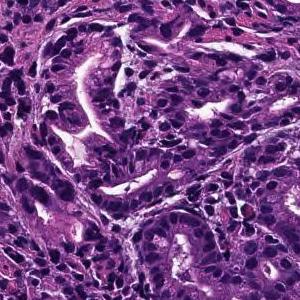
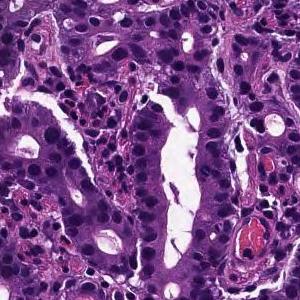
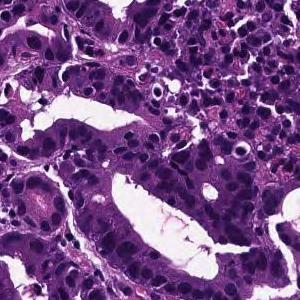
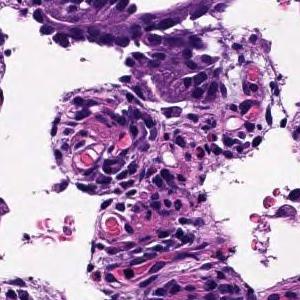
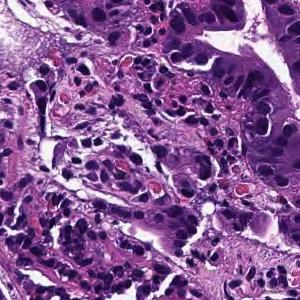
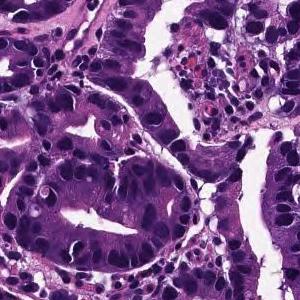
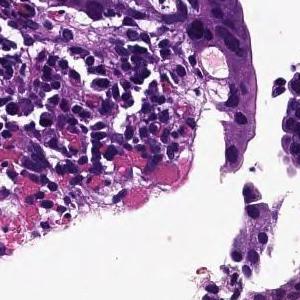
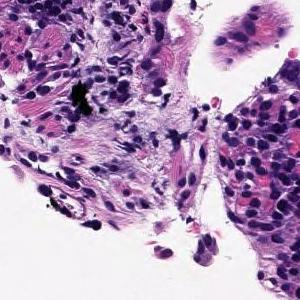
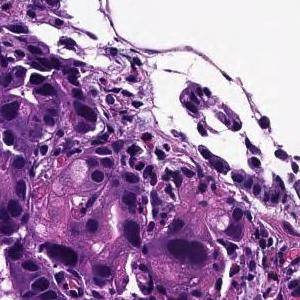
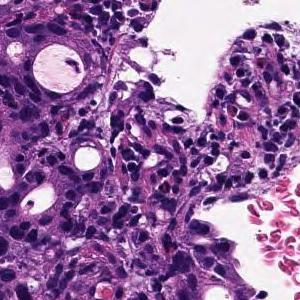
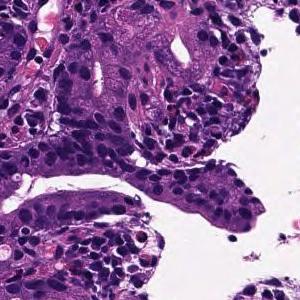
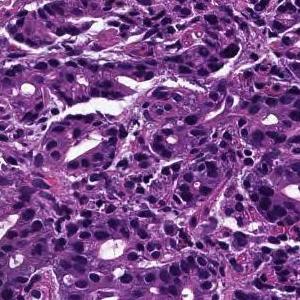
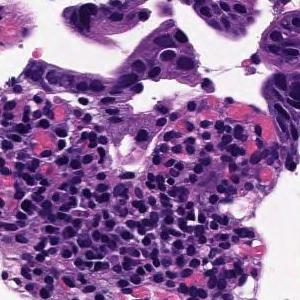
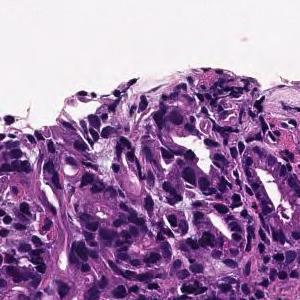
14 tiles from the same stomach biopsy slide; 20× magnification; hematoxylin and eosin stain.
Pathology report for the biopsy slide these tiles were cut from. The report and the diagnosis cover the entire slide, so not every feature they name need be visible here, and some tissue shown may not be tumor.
From the superficial epithelium to the muscularis mucosae, tumor tissue consisting of medium-sized and irregular glandular ducts infiltrating is observed. Well differentiated tubular adenocarcinoma
